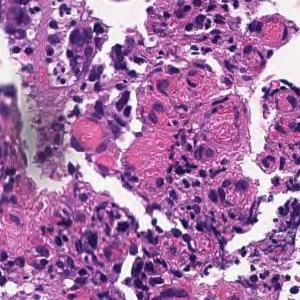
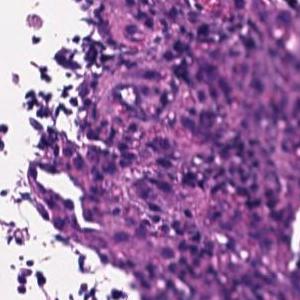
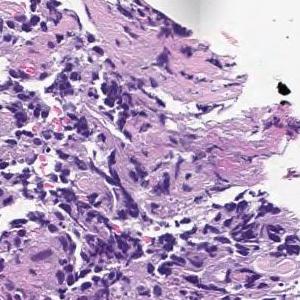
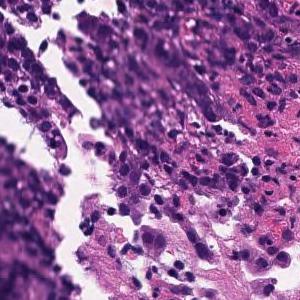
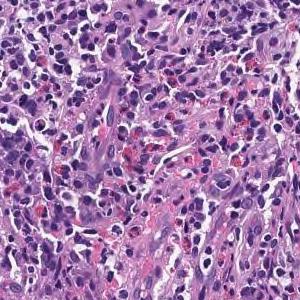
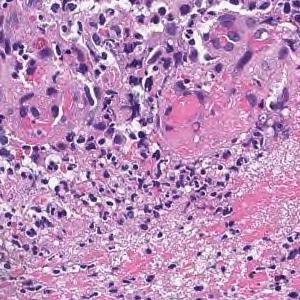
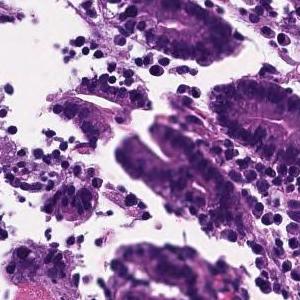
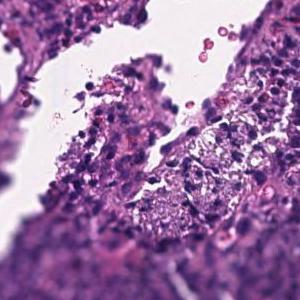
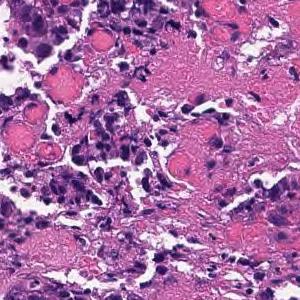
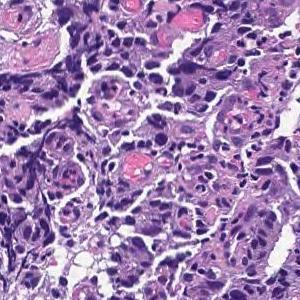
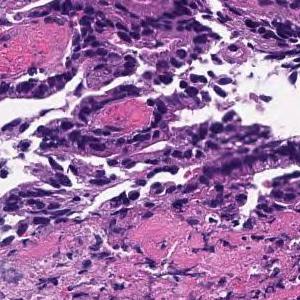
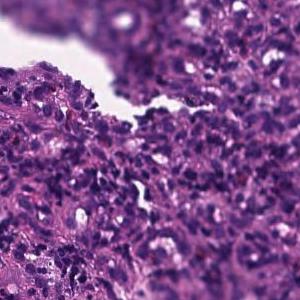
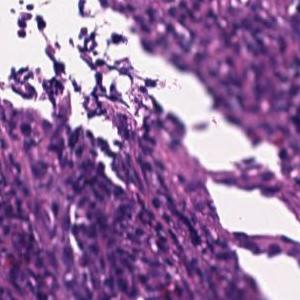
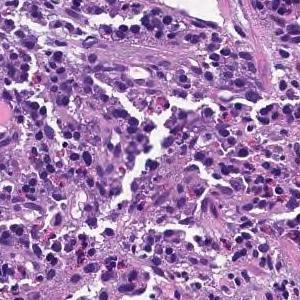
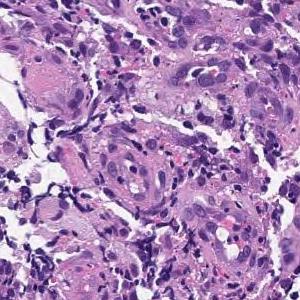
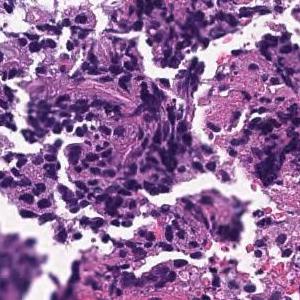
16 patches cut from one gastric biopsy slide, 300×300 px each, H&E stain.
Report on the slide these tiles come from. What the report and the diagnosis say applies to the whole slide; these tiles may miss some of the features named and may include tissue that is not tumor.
On the superficial epithelium, tumor tissue consisting of large irregular glandular ducts partially fused and infiltrated is observed. Well to moderately differentiated tubular adenocarcinoma (well differentiated tubular adenocarcinoma, moderately differentiated tubular adenocarcinoma)
Histological subtype: Well to moderately differentiated tubular adenocarcinoma.
